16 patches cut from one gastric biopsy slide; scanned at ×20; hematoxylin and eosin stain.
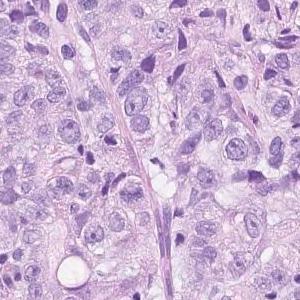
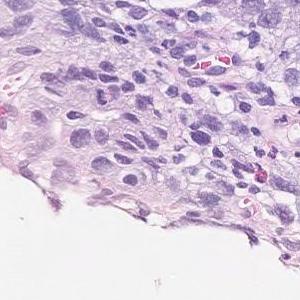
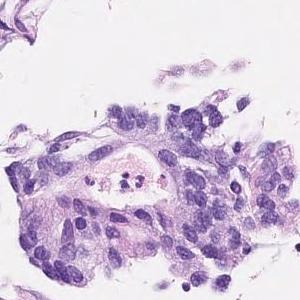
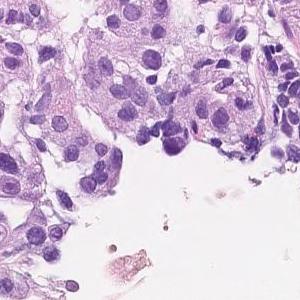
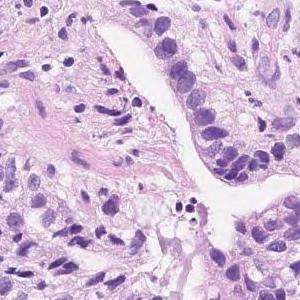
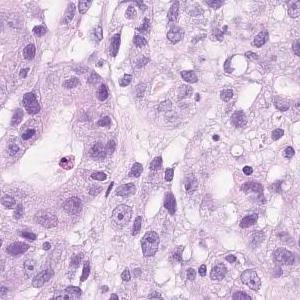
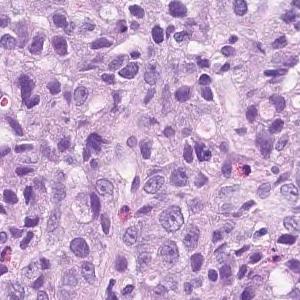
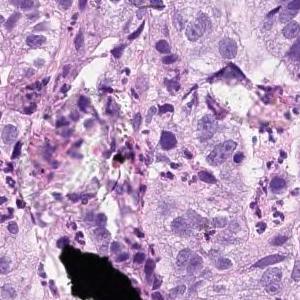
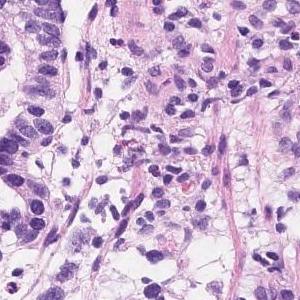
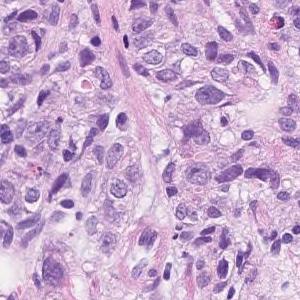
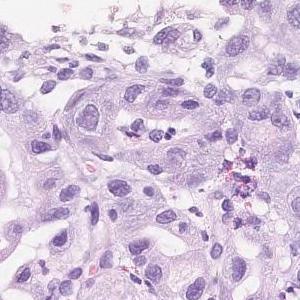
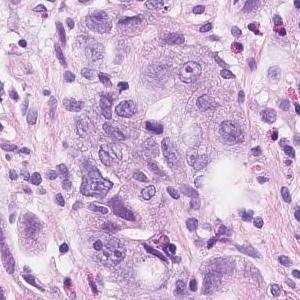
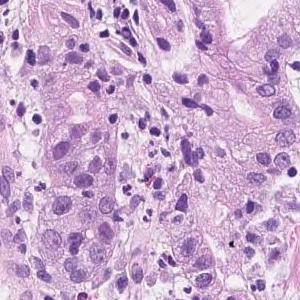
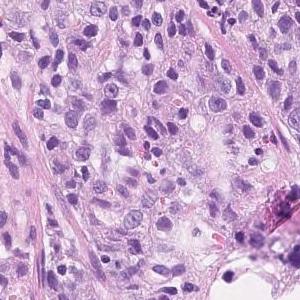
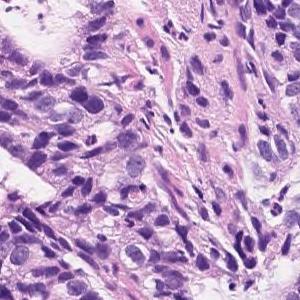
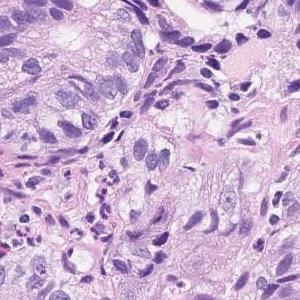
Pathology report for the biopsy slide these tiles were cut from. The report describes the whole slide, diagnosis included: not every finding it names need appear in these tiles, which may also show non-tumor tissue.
In the superficial epithelium, tumor tissue that invades by forming medium-sized to small, irregular ducts is observed. Moderately to poorly differentiated adenocarcinoma
